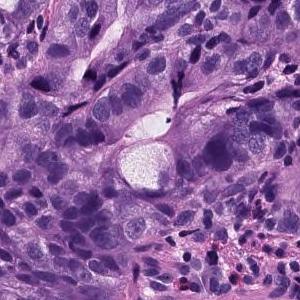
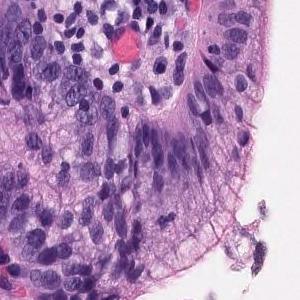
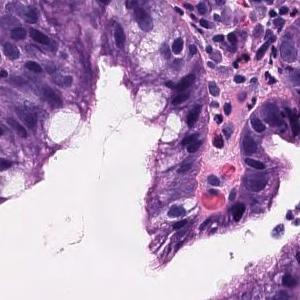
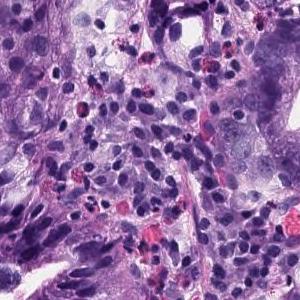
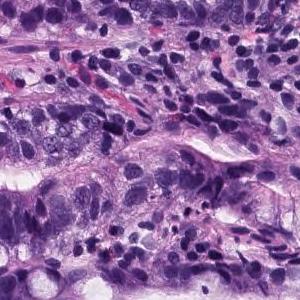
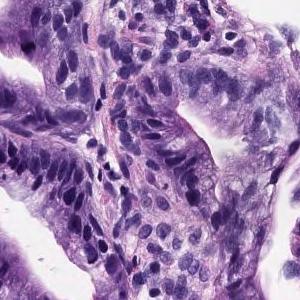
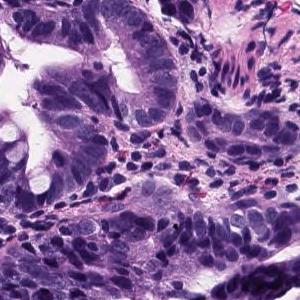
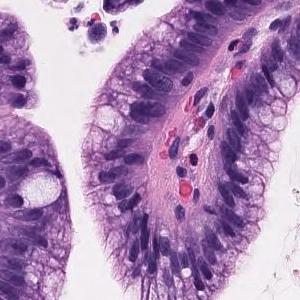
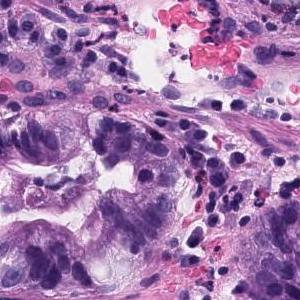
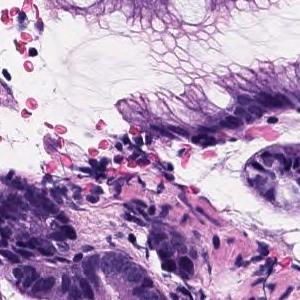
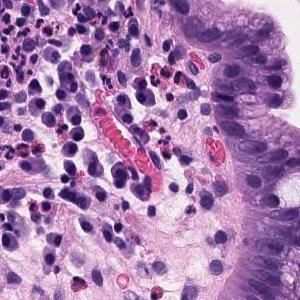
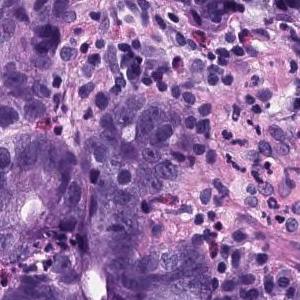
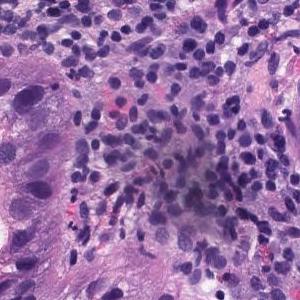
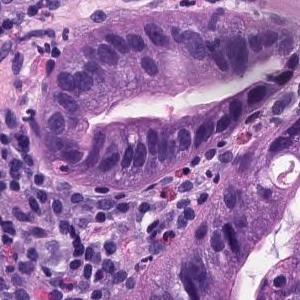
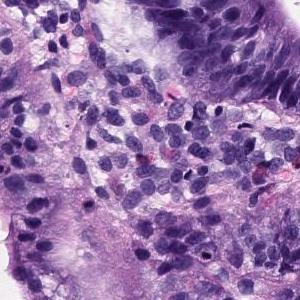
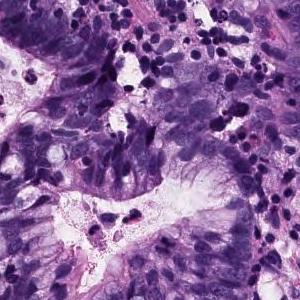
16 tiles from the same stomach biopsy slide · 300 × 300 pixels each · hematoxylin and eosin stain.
Diagnostic report for the slide these tiles come from. The report and the diagnosis describe the slide as a whole, so these tiles may not show every feature named and may include non-tumor tissue.
Tumor cells with strong nuclear atypia proliferate invasively, forming small to medium-sized irregular shaped ducts. moderately differentiated tubular adenocarcinoma
